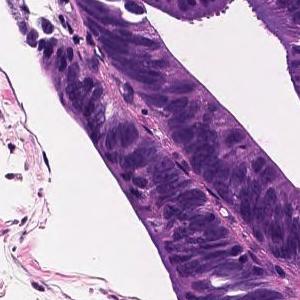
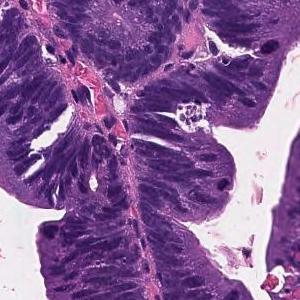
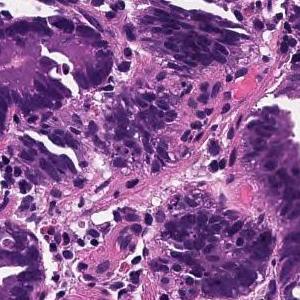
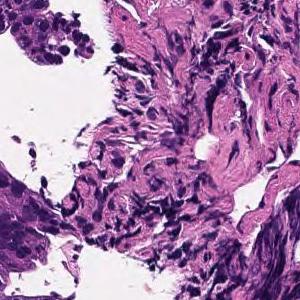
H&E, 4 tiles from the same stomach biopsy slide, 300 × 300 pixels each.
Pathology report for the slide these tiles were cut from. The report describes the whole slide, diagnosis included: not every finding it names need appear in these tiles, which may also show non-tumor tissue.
Tumor tissue consisting of large papillary structures is found in the superficial epithelium. Papillary adenocarcinoma.
